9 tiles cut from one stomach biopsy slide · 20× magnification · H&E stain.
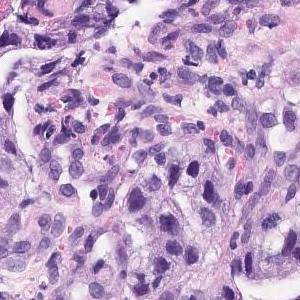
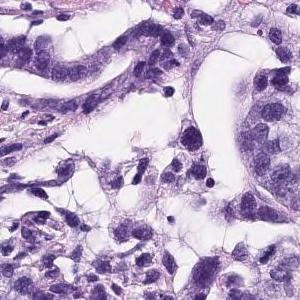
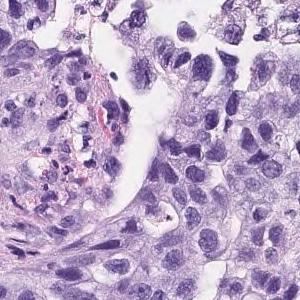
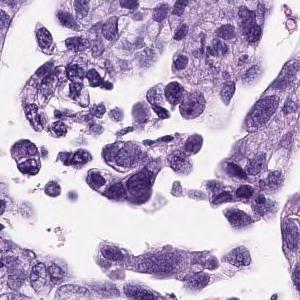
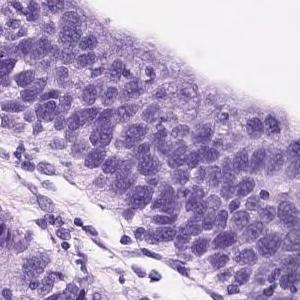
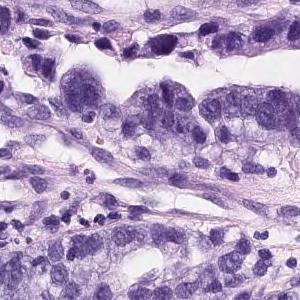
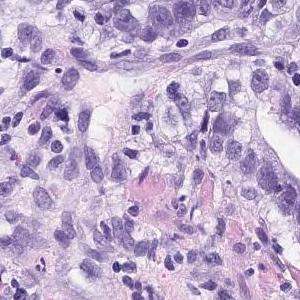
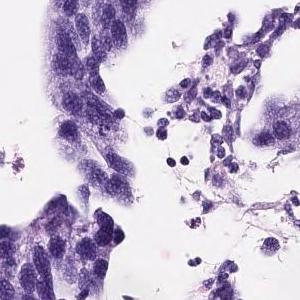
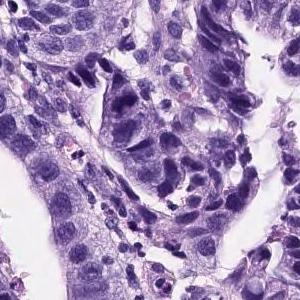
Diagnostic report for the slide these tiles come from. Both the report and the diagnosis are for the whole slide: these tiles need not show every feature named, and some of the tissue shown may not be tumor.
On the superficial epithelium, tumor tissue consisting of medium to small irregular tubules partially fused and proliferated is observed. moderately differentiated tubular adenocarcinoma
